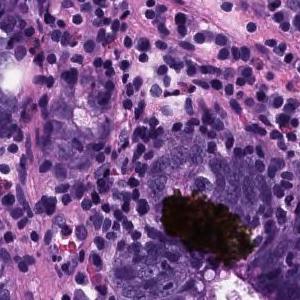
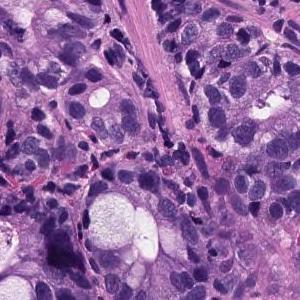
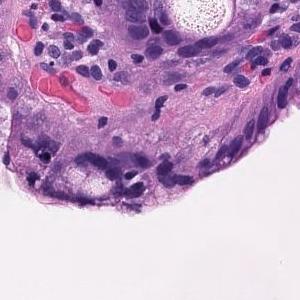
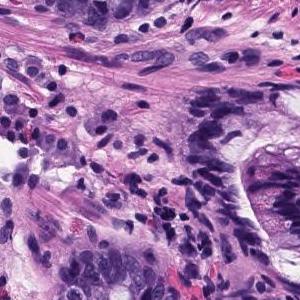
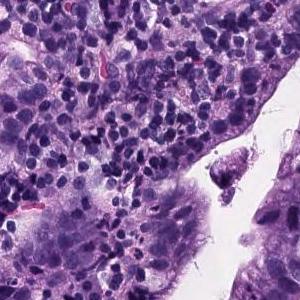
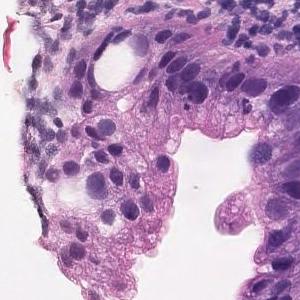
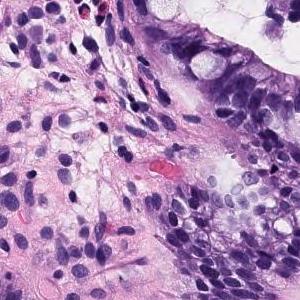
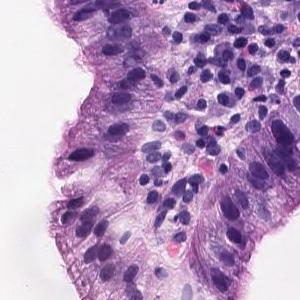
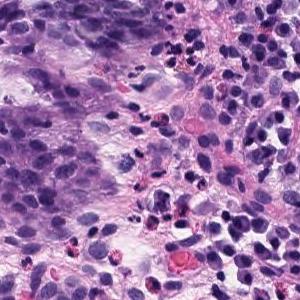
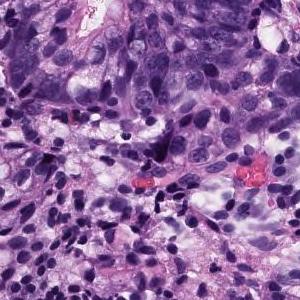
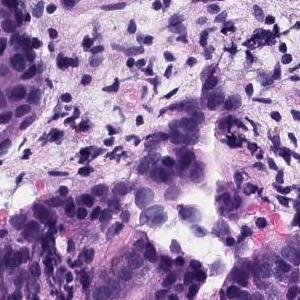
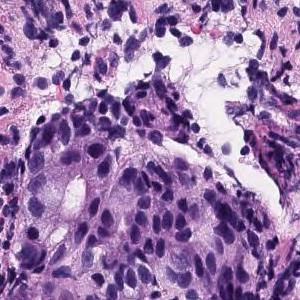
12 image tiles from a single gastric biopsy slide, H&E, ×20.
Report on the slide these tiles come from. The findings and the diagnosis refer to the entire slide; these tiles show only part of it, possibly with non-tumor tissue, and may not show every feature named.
Tumor cells with strong nuclear atypia proliferate invasively, forming small to medium-sized irregular shaped ducts. moderately differentiated tubular adenocarcinoma
